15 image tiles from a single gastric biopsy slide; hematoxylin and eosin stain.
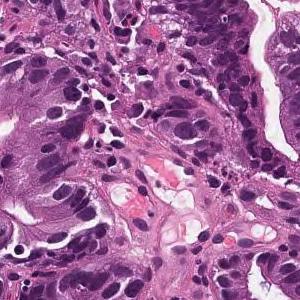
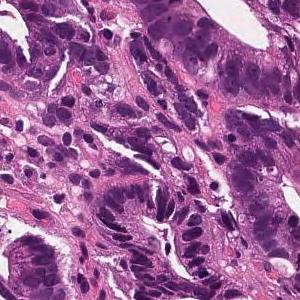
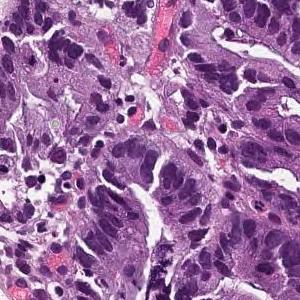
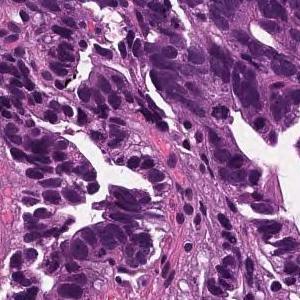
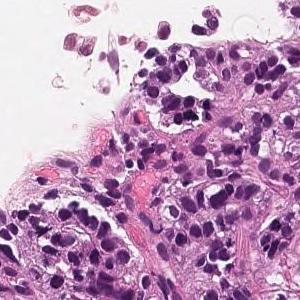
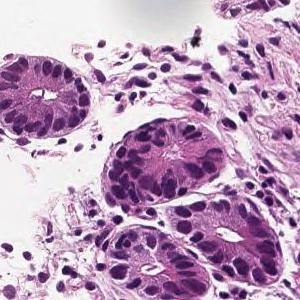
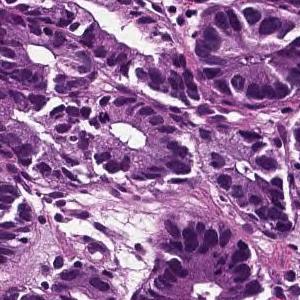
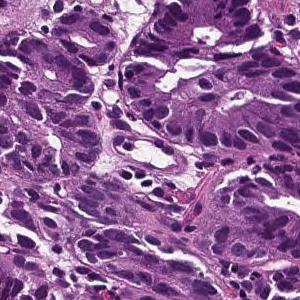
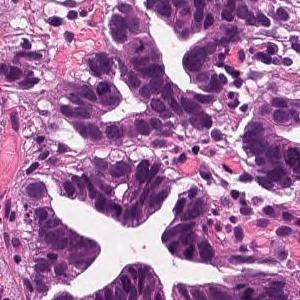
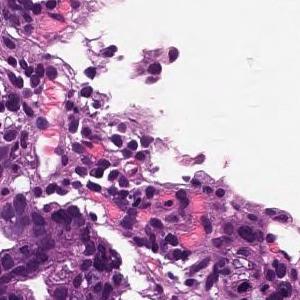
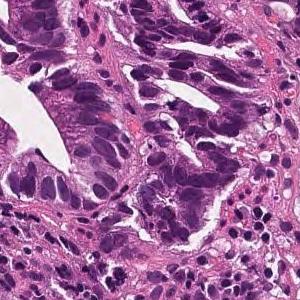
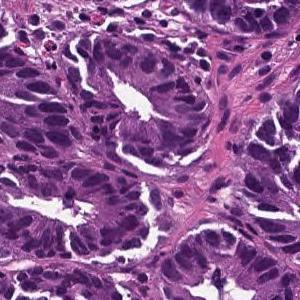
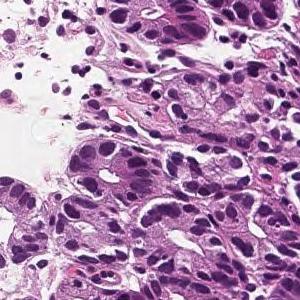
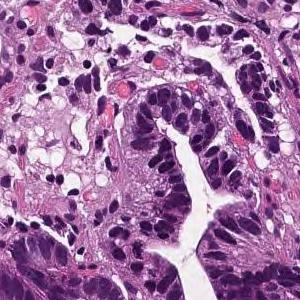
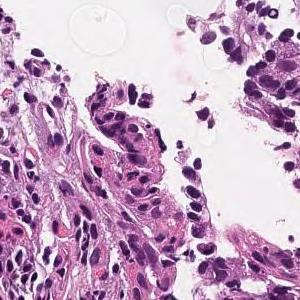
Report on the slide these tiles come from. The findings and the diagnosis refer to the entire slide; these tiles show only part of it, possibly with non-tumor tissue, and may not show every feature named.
From the superficial epithelium to the muscularis mucosae, tumor tissue consisting of medium-sized and irregular glandular ducts infiltrating is observed. Well differentiated tubular adenocarcinoma
